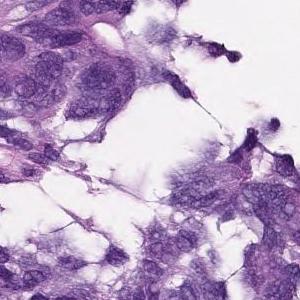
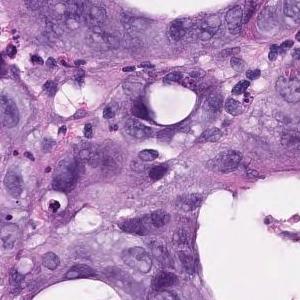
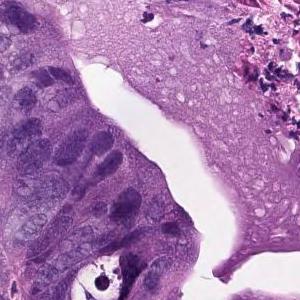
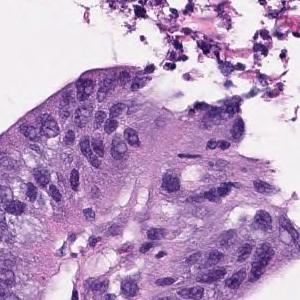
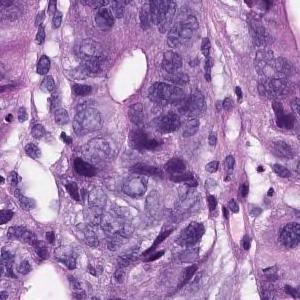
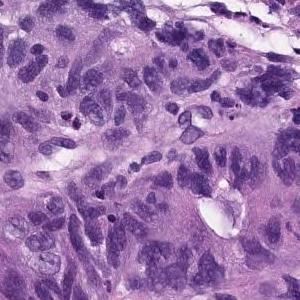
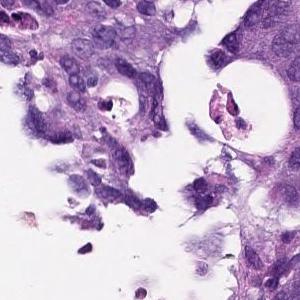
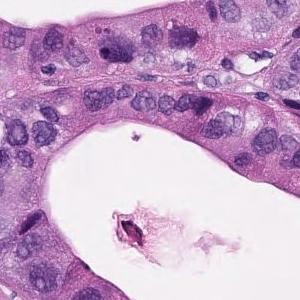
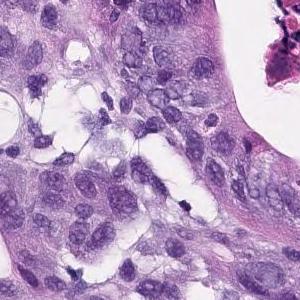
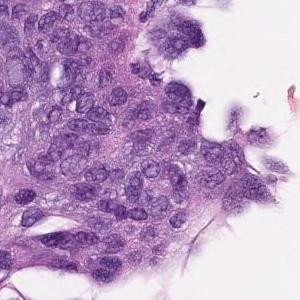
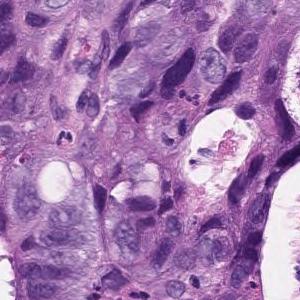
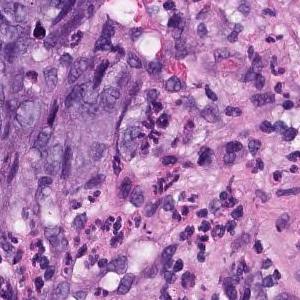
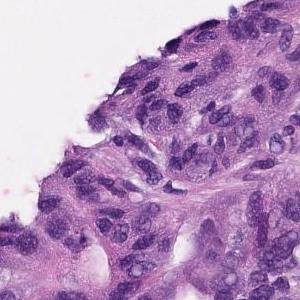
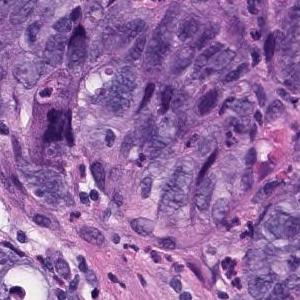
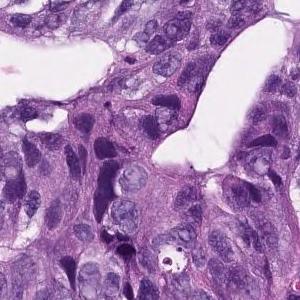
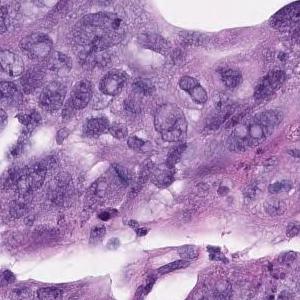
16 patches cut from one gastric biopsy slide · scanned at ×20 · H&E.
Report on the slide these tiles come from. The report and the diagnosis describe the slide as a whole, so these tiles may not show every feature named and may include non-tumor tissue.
In the superficial epithelium, tumor tissue that invades by forming medium-sized to small, irregular ducts is observed. Moderately differentiated adenocarcinoma.
Subtype: Moderately differentiated tubular adenocarcinoma.
